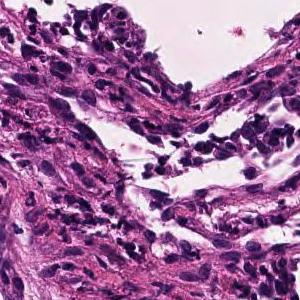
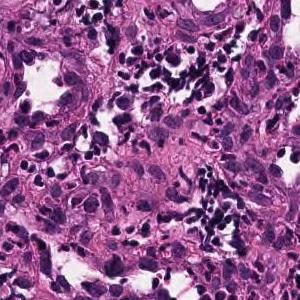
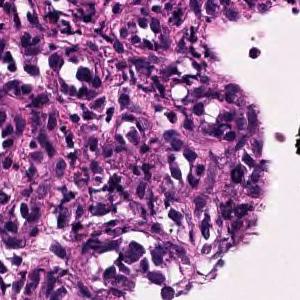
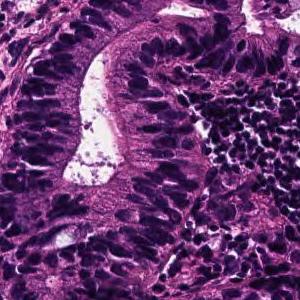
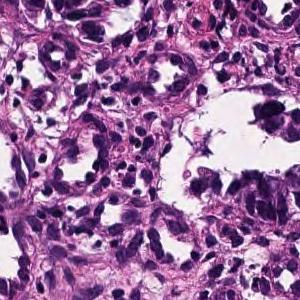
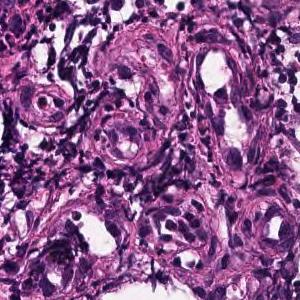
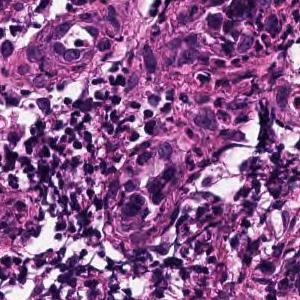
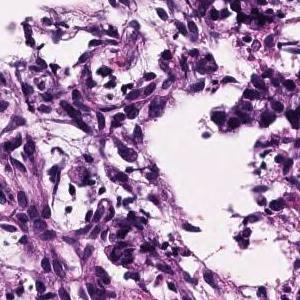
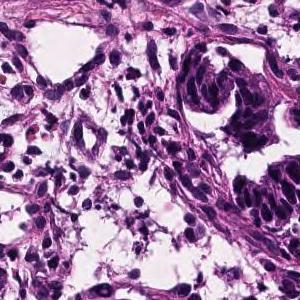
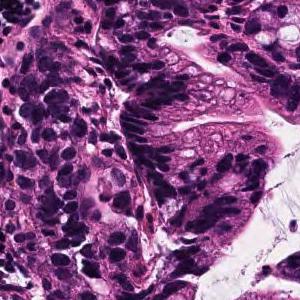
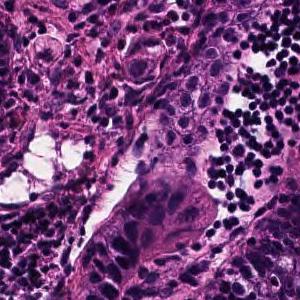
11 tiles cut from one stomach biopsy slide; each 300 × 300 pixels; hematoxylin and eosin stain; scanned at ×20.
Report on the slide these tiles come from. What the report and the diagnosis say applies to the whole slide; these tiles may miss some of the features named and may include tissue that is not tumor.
On the superficial epithelium, tumor tissue consisting of large, irregular glandular ducts partially fused and infiltrated is observed. Well to moderately differentiated tubular adenocarcinoma (well differentiated tubular adenocarcinoma, moderately differentiated tubular adenocarcinoma)
Histologic type: Well to moderately differentiated tubular adenocarcinoma.
